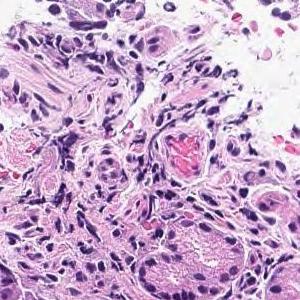
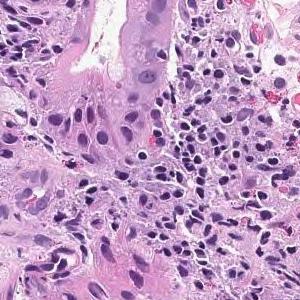
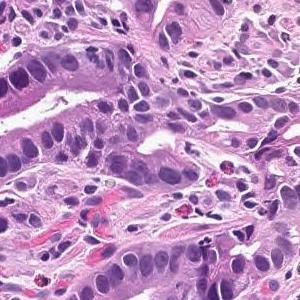
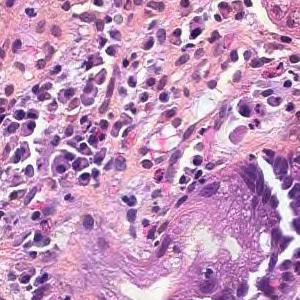
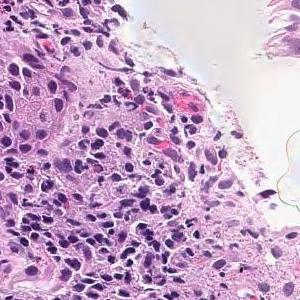
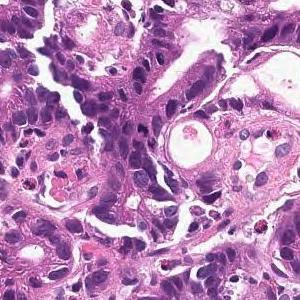
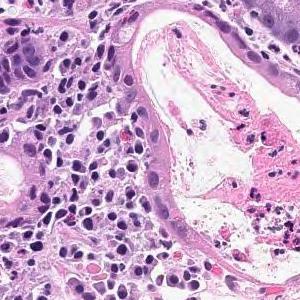
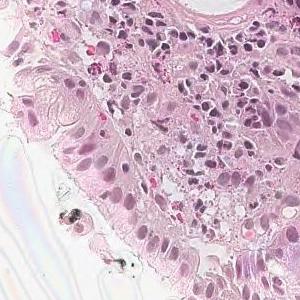
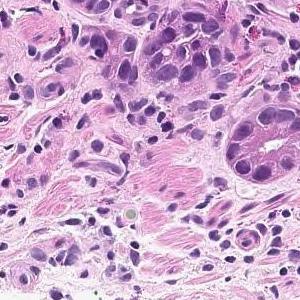
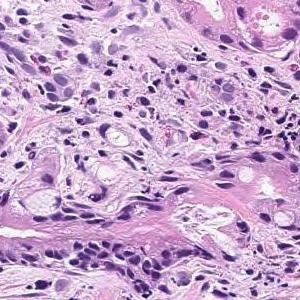
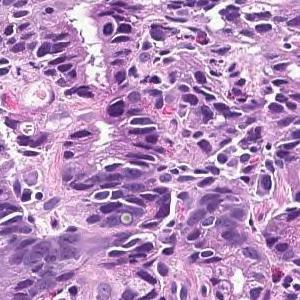
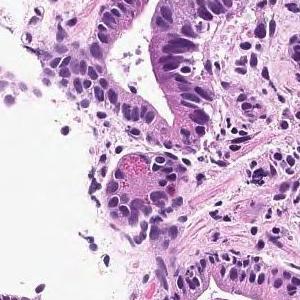
H&E stain, 20× magnification, 12 tiles from the same stomach biopsy slide, 300×300 px each.
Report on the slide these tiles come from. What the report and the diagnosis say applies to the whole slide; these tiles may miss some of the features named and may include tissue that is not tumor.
In the superficial epithelium, tumor tissue that invades by forming medium-sized to small, irregular ducts is observed. moderately differentiated tubular adenocarcinoma.
